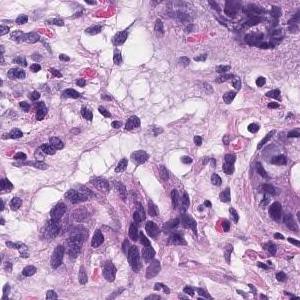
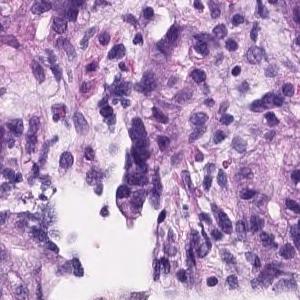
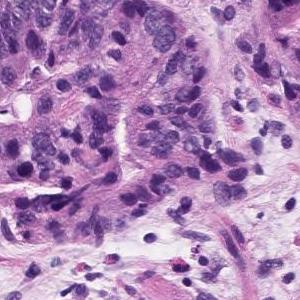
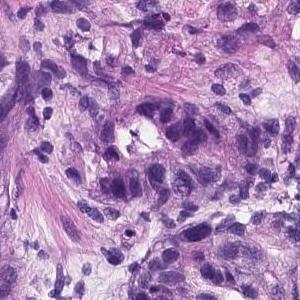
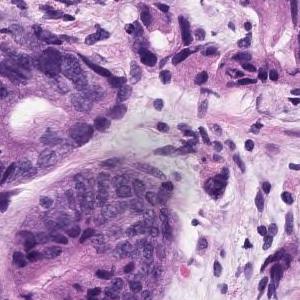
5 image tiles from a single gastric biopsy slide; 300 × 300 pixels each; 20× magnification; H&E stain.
The pathologist's report on the biopsy slide these tiles were taken from. Both the report and the diagnosis are for the whole slide: these tiles need not show every feature named, and some of the tissue shown may not be tumor.
In the superficial epithelium, tumor tissue that invades by forming medium-sized to small, irregular ducts is observed. Moderately differentiated adenocarcinoma.
Classified as moderately differentiated tubular adenocarcinoma.
